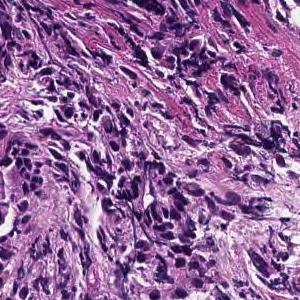
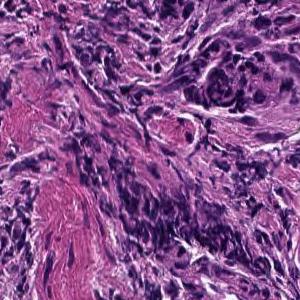
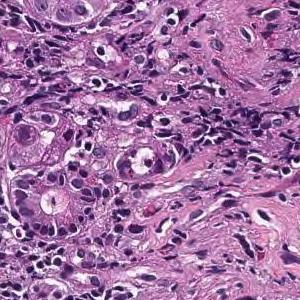
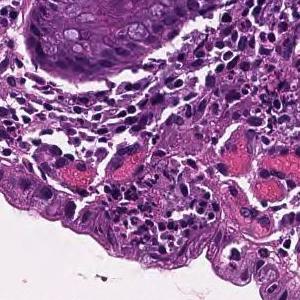
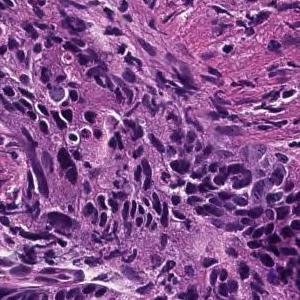
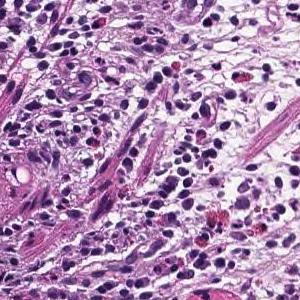
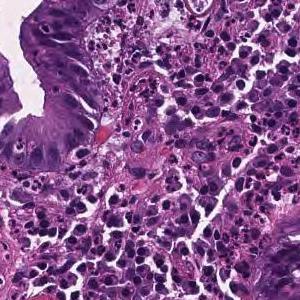
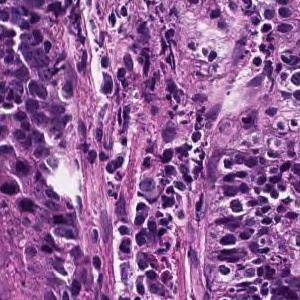
8 tiles from the same stomach biopsy slide; 300 × 300 pixels each; 20× magnification.
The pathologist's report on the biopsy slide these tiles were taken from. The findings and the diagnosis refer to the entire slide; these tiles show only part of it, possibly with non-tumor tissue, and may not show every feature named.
On the superficial epithelium, tumor tissue consisting of large, irregular glandular ducts partially fused and infiltrated is observed. Well to moderately differentiated tubular adenocarcinoma (well differentiated tubular adenocarcinoma, moderately differentiated tubular adenocarcinoma)
Histological subtype: Well to moderately differentiated tubular adenocarcinoma.
